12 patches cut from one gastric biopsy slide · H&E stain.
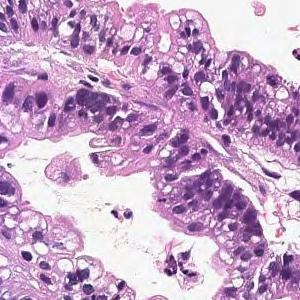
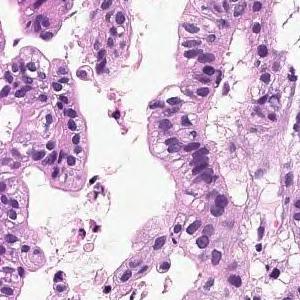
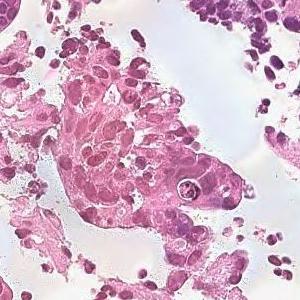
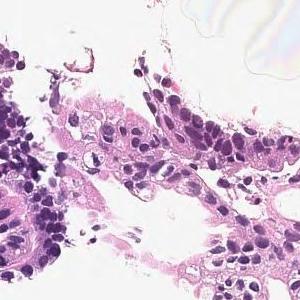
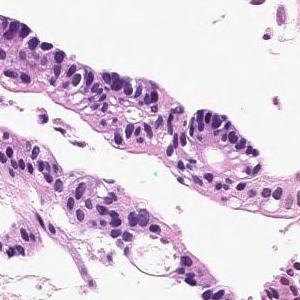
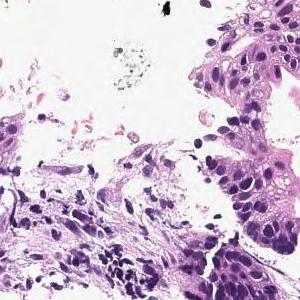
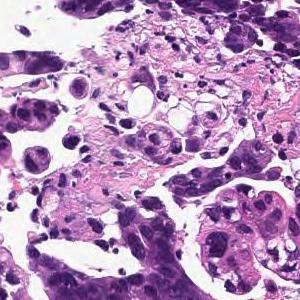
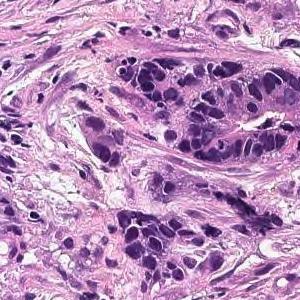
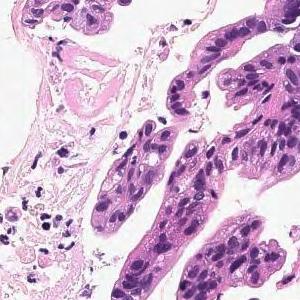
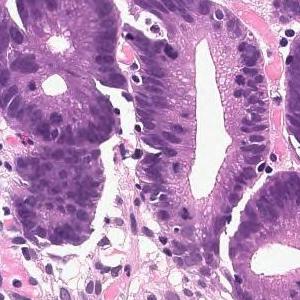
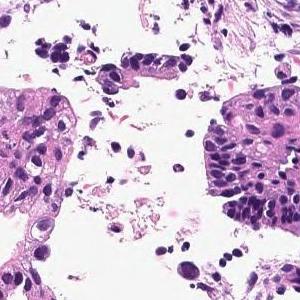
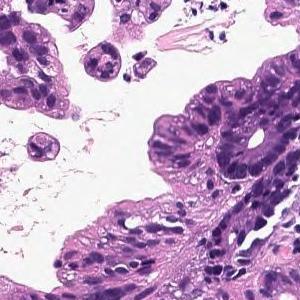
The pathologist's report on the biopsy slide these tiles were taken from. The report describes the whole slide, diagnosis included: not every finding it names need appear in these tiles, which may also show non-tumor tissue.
In the superficial epithelium, tumor tissue that invades by forming medium-sized to small, irregular ducts is observed. moderately differentiated tubular adenocarcinoma.
